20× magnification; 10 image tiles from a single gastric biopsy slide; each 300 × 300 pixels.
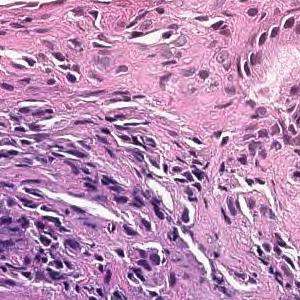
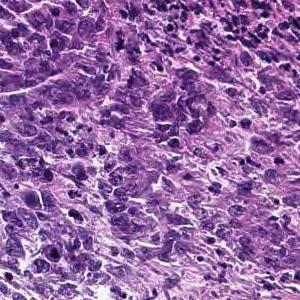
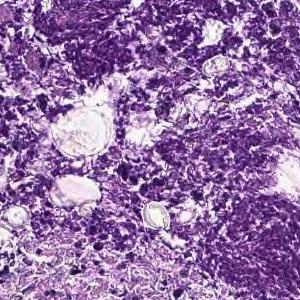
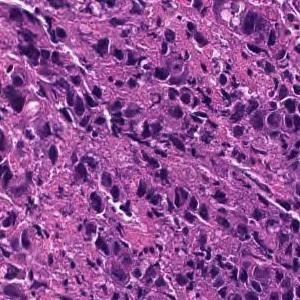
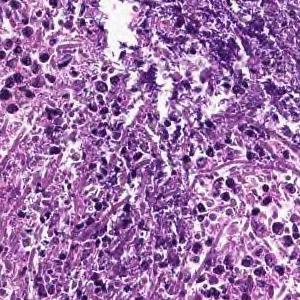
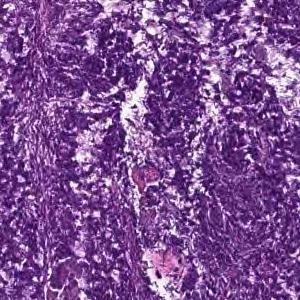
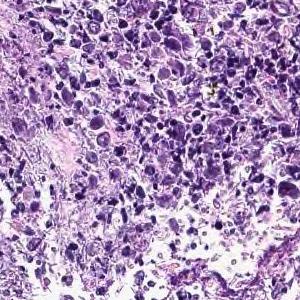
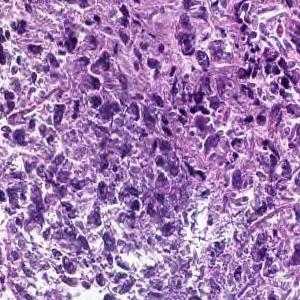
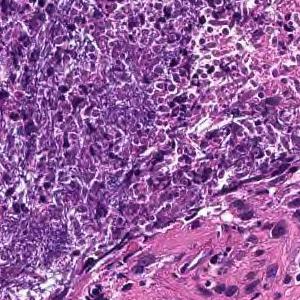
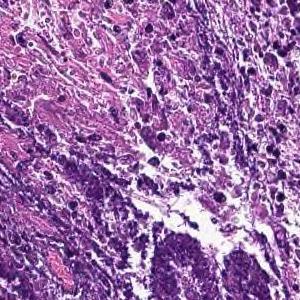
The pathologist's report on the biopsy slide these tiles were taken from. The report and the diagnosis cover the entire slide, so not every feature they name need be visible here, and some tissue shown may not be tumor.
Cancers with polygonal nuclei do not show glandular formation and are densely, in part, cord-like and proliferate. Poorly differentiated adenocarcinoma
Histological subtype: Poorly differentiated adenocarcinoma, non-solid type.
The non-solid type named here is a Japanese Classification of Gastric Carcinoma category.
